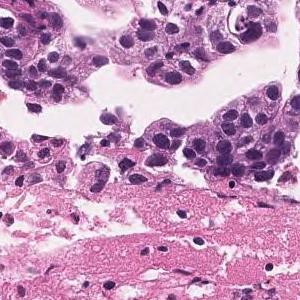
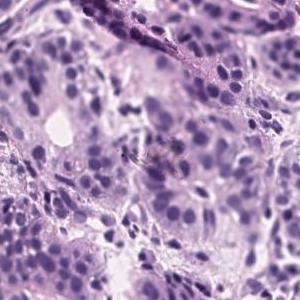
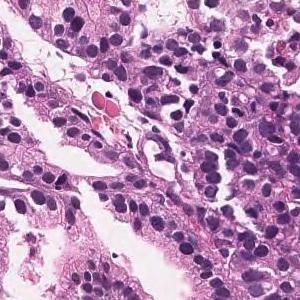
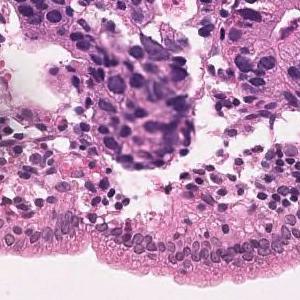
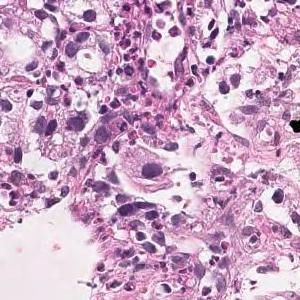
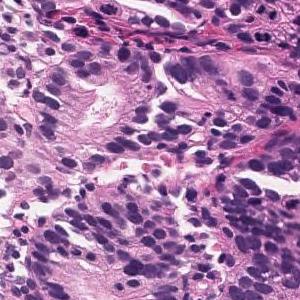
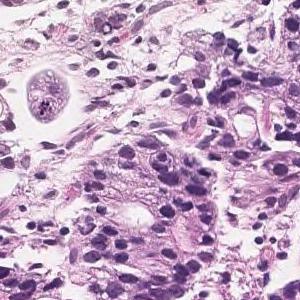
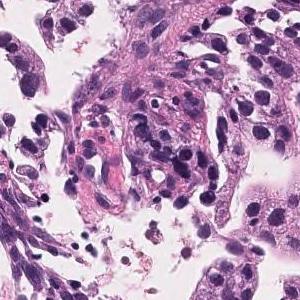
8 tiles cut from one stomach biopsy slide, each 300 × 300 pixels, hematoxylin and eosin stain, 20× magnification.
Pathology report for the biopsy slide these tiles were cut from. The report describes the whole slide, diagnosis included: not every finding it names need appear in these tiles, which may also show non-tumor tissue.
In the superficial epithelium, tumor tissue that invades by forming medium-sized to small, irregular ducts is observed. moderately differentiated tubular adenocarcinoma.
